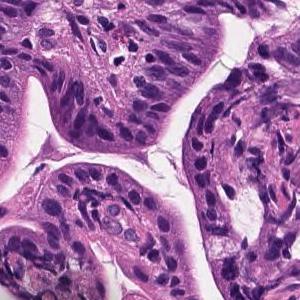
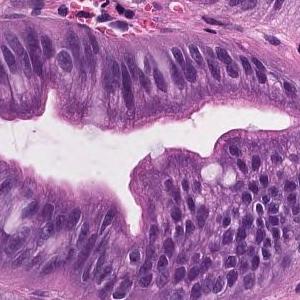
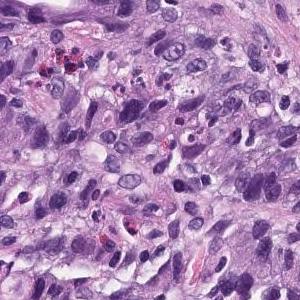
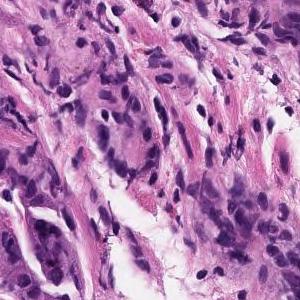
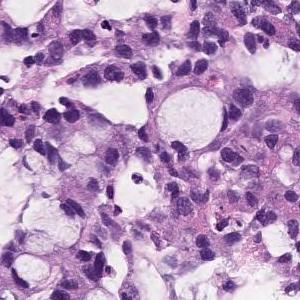
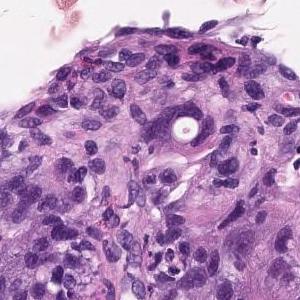
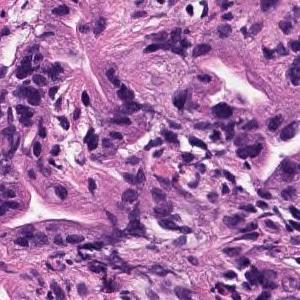
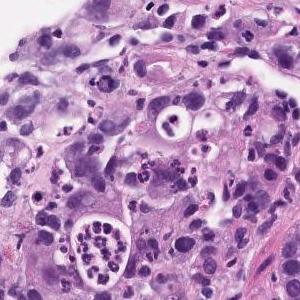
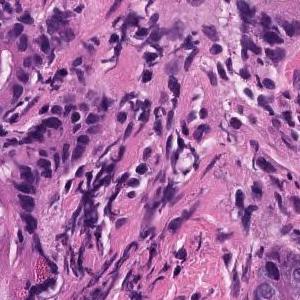
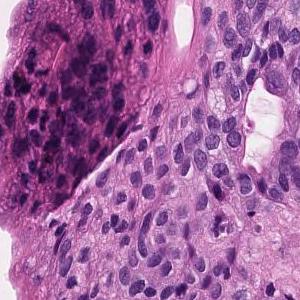
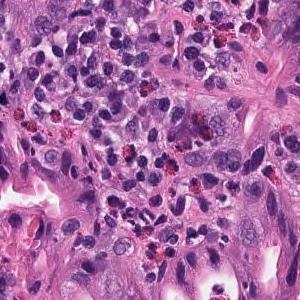
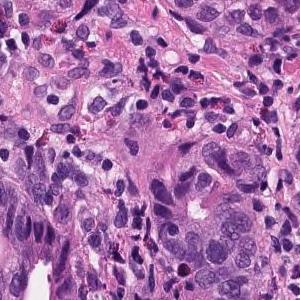
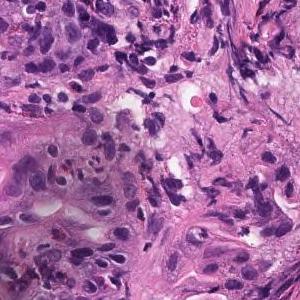
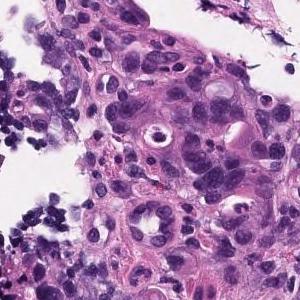
H&E · scanned at ×20 · 14 tiles cut from one stomach biopsy slide.
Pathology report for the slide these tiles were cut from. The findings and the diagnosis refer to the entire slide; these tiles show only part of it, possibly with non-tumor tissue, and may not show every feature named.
moderately differentiated tubular adenocarcinoma, Poorly differentiated adenocarcinoma
Dataset label: poorly differentiated adenocarcinoma, solid type (Japanese Classification of Gastric Carcinoma). The WHO 2019 equivalent is tubular adenocarcinoma, poorly differentiated.
